11 tiles cut from one stomach biopsy slide; H&E stain; ×20.
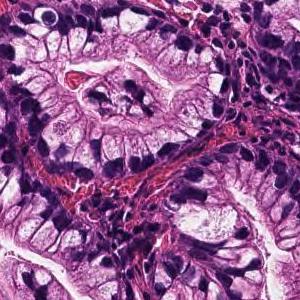
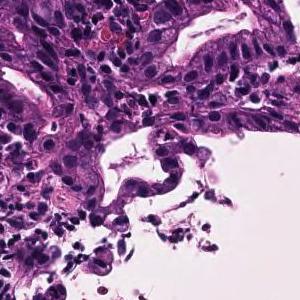
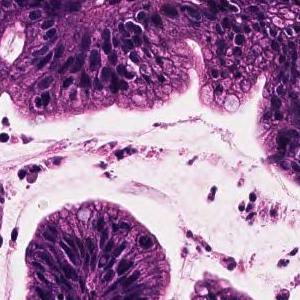
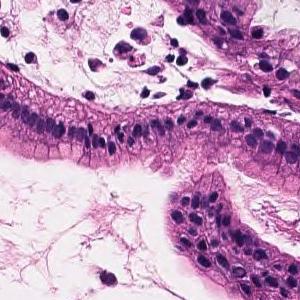
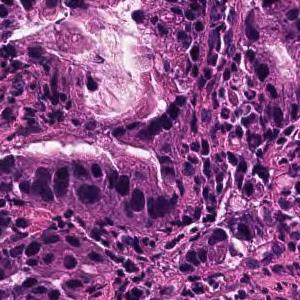
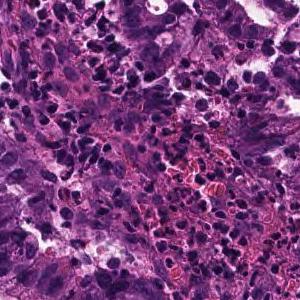
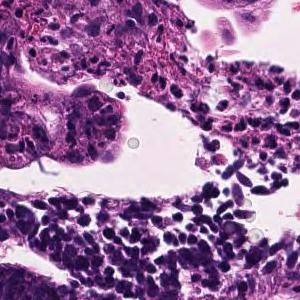
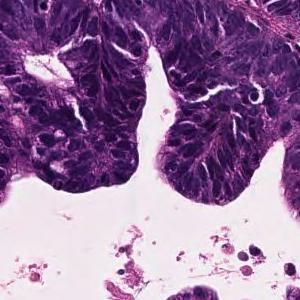
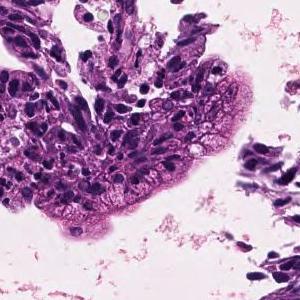
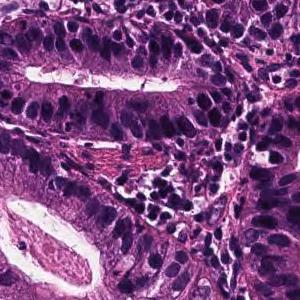
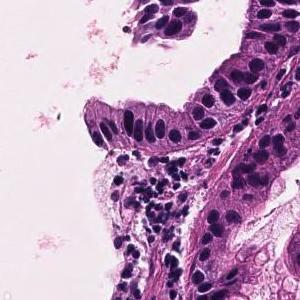
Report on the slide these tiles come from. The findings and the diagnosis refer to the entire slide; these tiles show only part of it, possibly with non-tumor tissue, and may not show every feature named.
Tumor cells are large, highly columnar, large club-shaped nuclei, and are associated with chromatin aggregation. Papillary adenocarcinoma.
